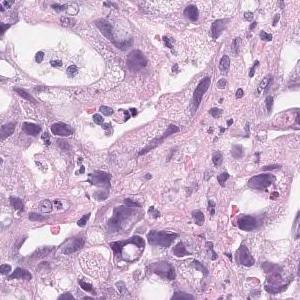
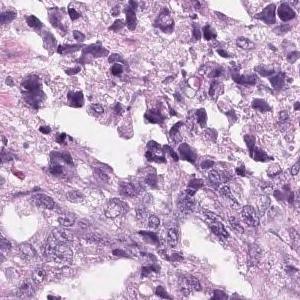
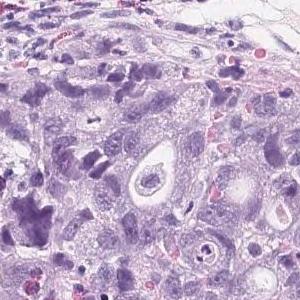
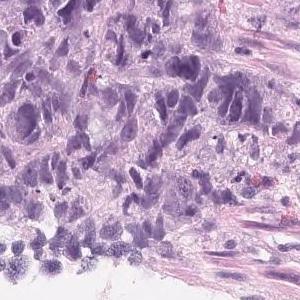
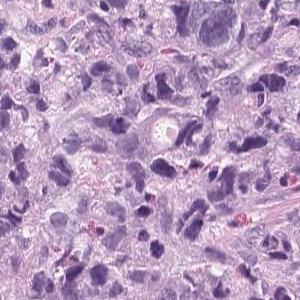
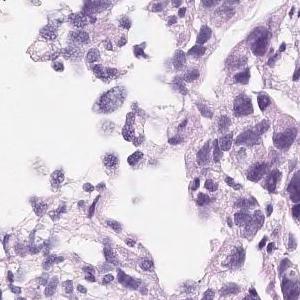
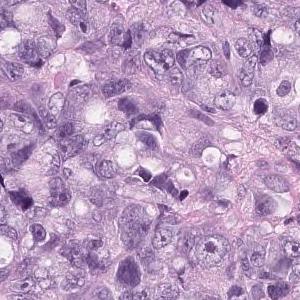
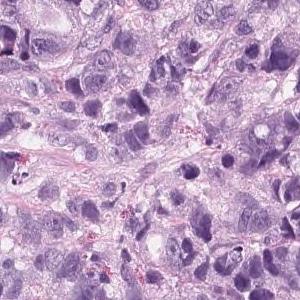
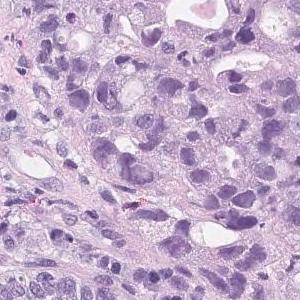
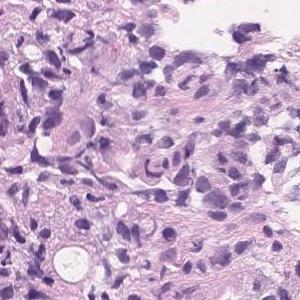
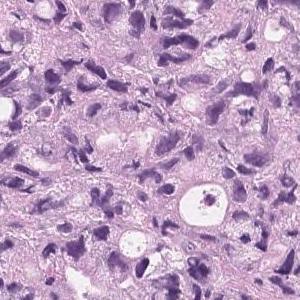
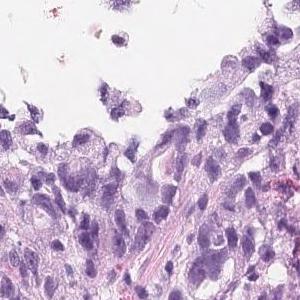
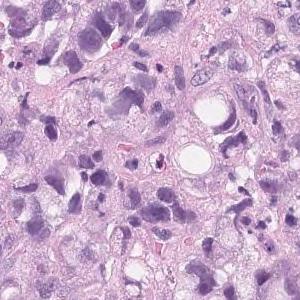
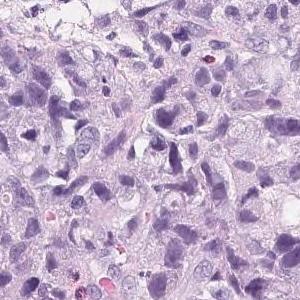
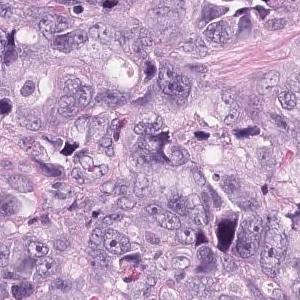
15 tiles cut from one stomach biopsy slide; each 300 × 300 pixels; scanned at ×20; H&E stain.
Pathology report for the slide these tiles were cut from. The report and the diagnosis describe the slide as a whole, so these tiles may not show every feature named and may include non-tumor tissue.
Tumor tissue that infiltrates and proliferates by forming small glandular cavities in the superficial layer to the submucosa or forming a mass is observed. moderately differentiated tubular adenocarcinoma
